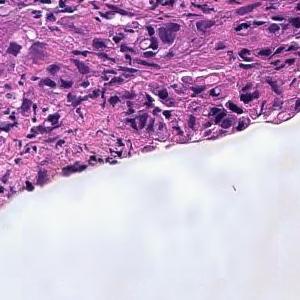
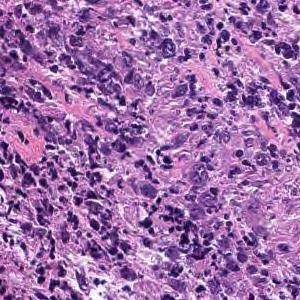
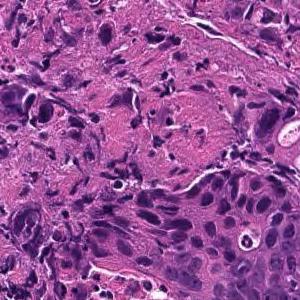
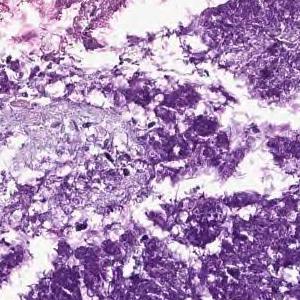
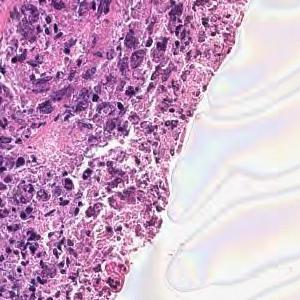
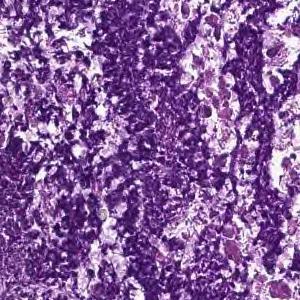
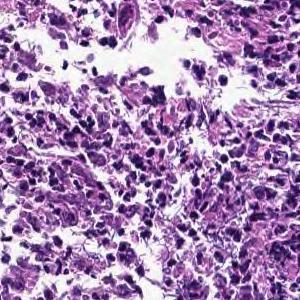
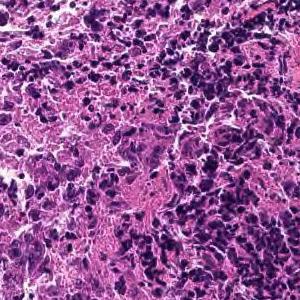
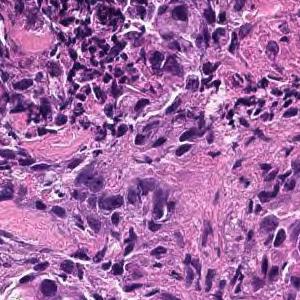
20× magnification, H&E, 9 patches cut from one gastric biopsy slide, each 300 × 300 pixels.
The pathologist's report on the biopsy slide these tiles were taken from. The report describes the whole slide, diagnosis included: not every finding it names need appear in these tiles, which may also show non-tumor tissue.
Cancers with polygonal nuclei do not show glandular formation and are densely, in part, cord-like and proliferate. Poorly differentiated adenocarcinoma
Subtype: Poorly differentiated adenocarcinoma, non-solid type.
"Non-solid type" is a category of the Japanese Classification of Gastric Carcinoma.
